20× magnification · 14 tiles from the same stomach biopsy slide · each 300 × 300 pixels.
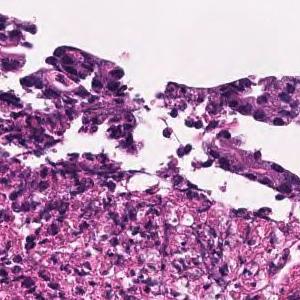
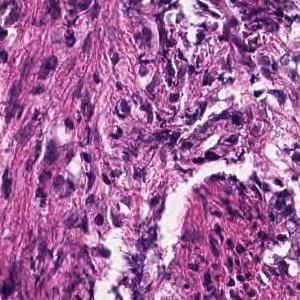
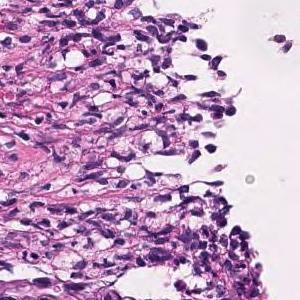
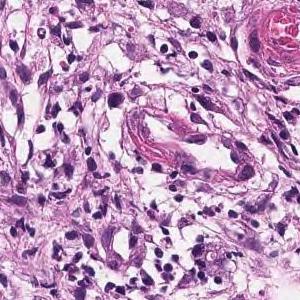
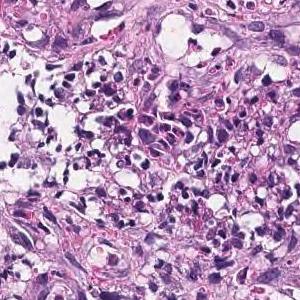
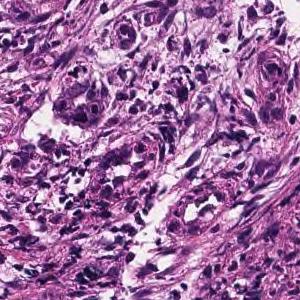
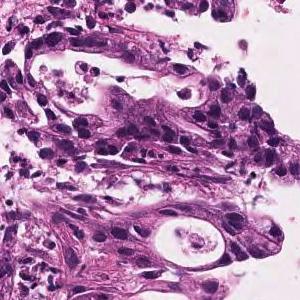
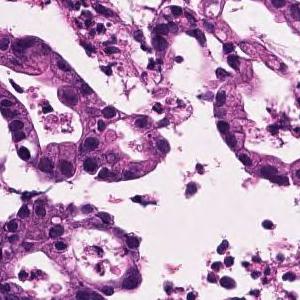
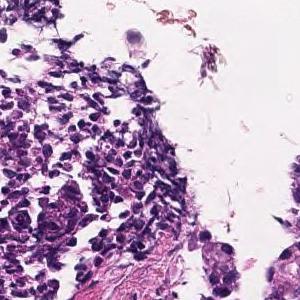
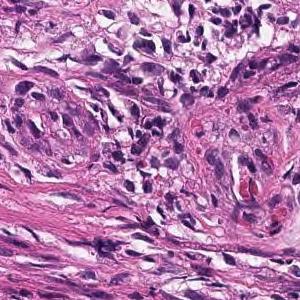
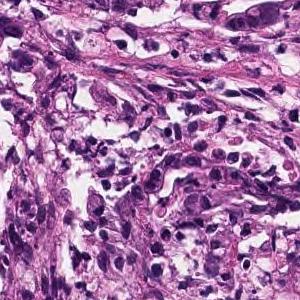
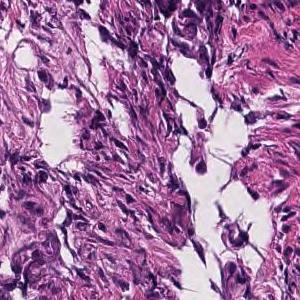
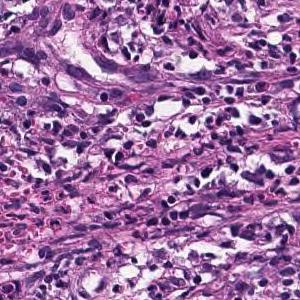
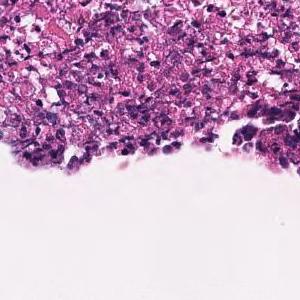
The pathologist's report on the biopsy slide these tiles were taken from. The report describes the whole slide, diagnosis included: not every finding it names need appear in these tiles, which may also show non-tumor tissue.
In the superficial epithelium, medium to small, irregular gland ducts are formed, and in some cases, the gland ducts are fused to show solid alveolar lesions and infiltrating tumor tissue is observed. Moderately to poorly differentiated adenocarcinoma.
